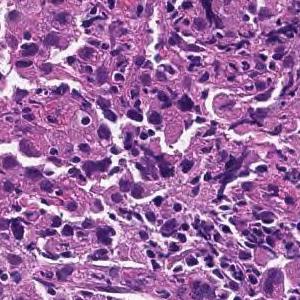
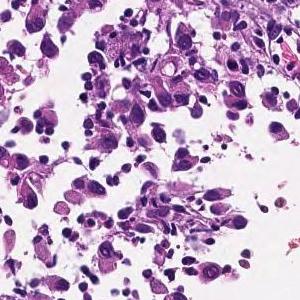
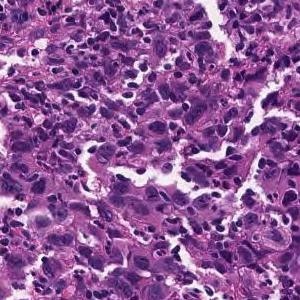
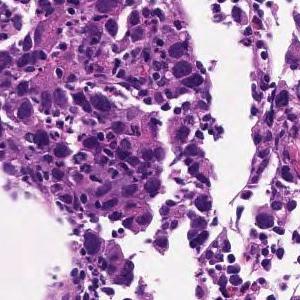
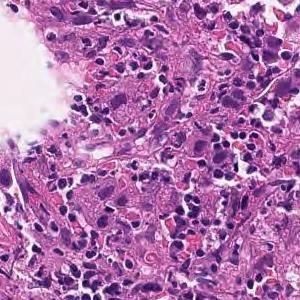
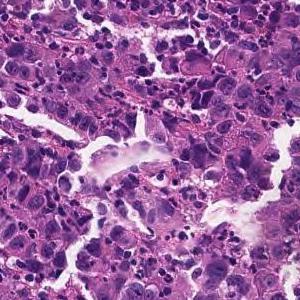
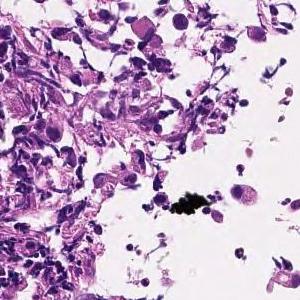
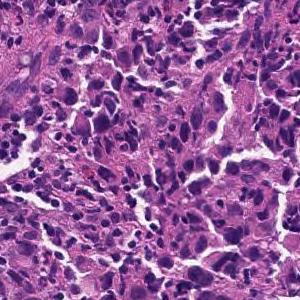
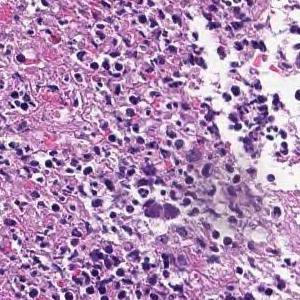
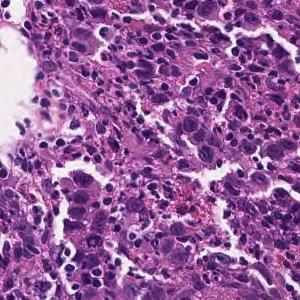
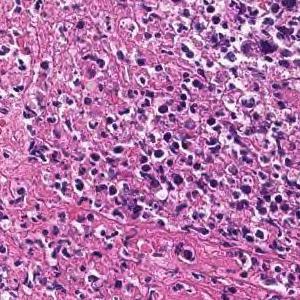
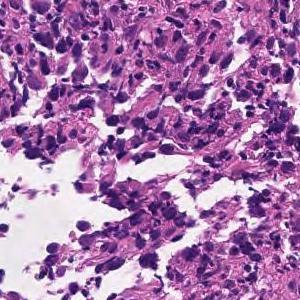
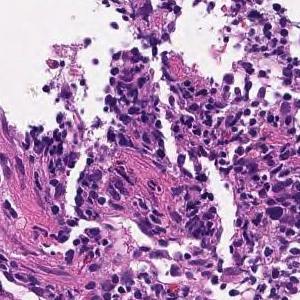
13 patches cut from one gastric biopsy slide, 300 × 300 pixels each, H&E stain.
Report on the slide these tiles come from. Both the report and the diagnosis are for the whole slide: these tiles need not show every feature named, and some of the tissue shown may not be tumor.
The superficial epithelium shows a large sheet-like shape, and some tumor tissue infiltrates with small irregular ducts. Poorly differentiated adenocarcinoma, solid-type (poorly differentiated adenocarcinoma, solid type)
Histologic type: Poorly differentiated adenocarcinoma, solid type, a category of the Japanese Classification of Gastric Carcinoma; in the WHO 2019 classification it is tubular adenocarcinoma, poorly differentiated.
